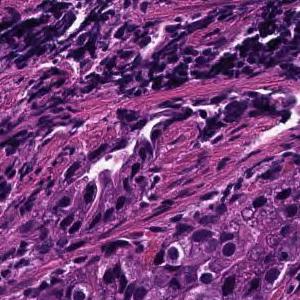
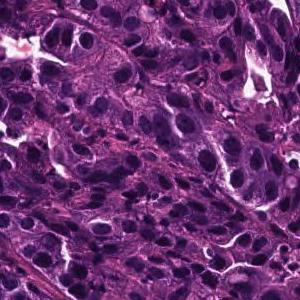
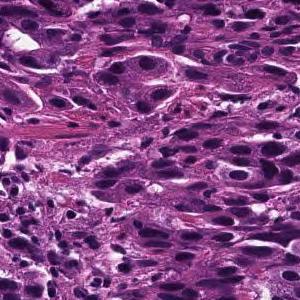
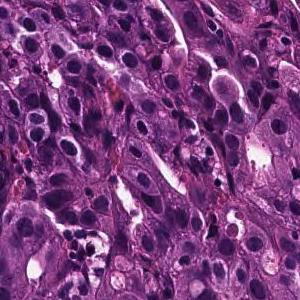
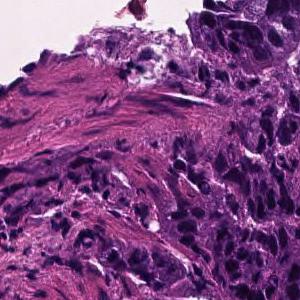
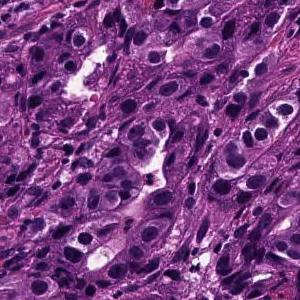
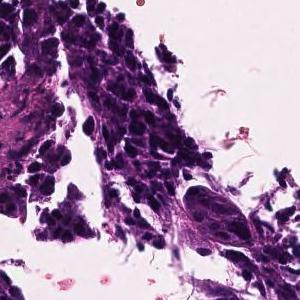
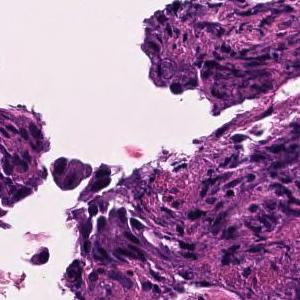
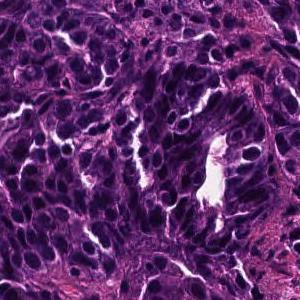
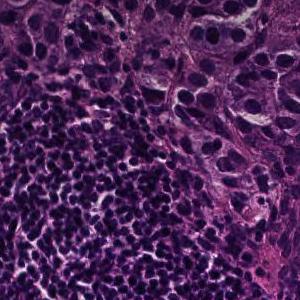
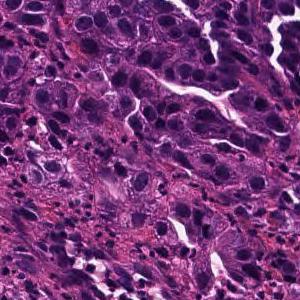
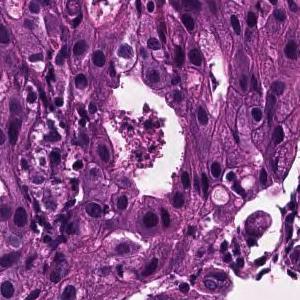
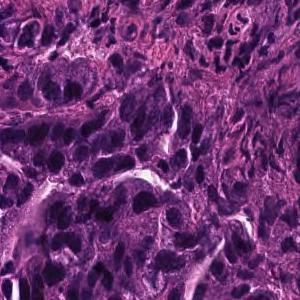
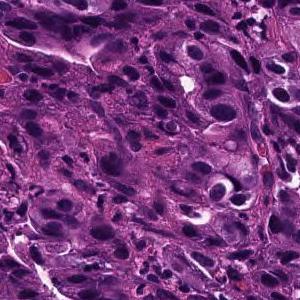
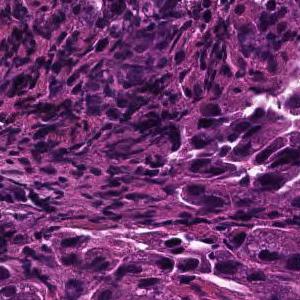
15 tiles from the same stomach biopsy slide, each 300 × 300 pixels, scanned at ×20.
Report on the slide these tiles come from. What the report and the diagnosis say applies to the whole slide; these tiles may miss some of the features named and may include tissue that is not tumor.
Tumor tissue consisting of medium-sized, cord-like or irregular glandular fusion and infiltration is observed in the superficial epithelium. Poorly differentiated adenocarcinoma, non-solid type or moderately differentiated tubular adenocarcinoma
Tumor subtype: moderately to poorly differentiated adenocarcinoma.
"Non-solid type" is a category of the Japanese Classification of Gastric Carcinoma.
